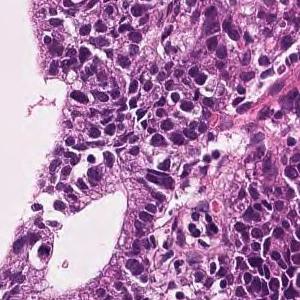
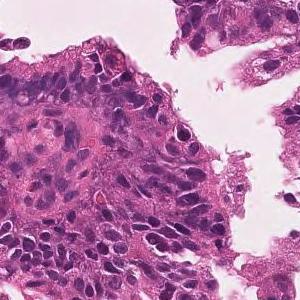
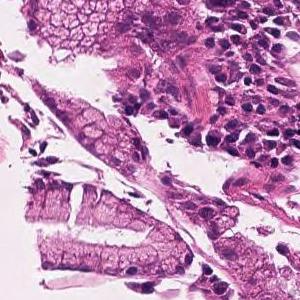
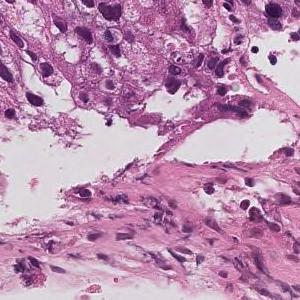
4 image tiles from a single gastric biopsy slide, scanned at ×20, H&E stain.
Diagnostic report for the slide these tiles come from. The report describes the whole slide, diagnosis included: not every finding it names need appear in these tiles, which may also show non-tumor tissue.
On the superficial epithelium, tumor tissue consisting of large, irregular glandular ducts partially fused and infiltrated is observed. Well to moderately differentiated tubular adenocarcinoma (well differentiated tubular adenocarcinoma, moderately differentiated tubular adenocarcinoma)
Histological subtype: Well to moderately differentiated tubular adenocarcinoma.
